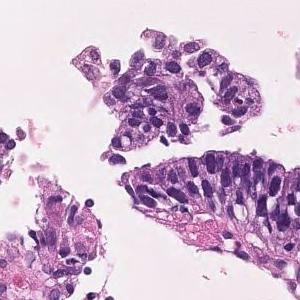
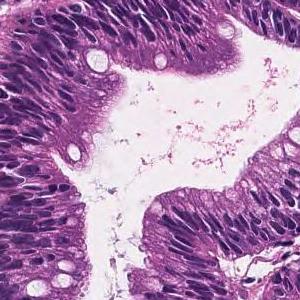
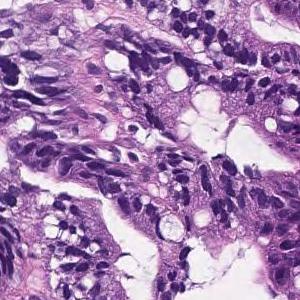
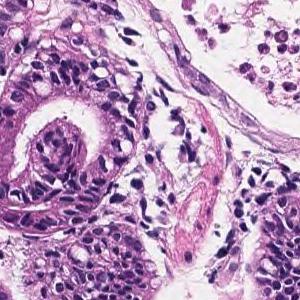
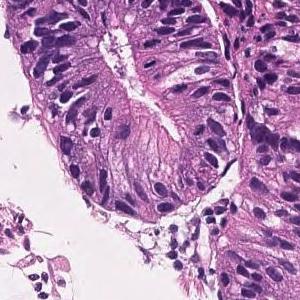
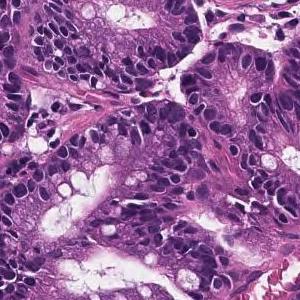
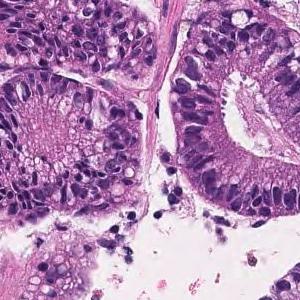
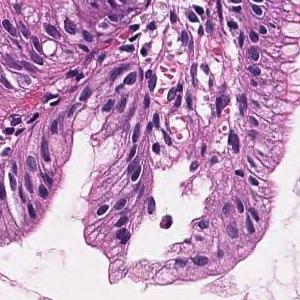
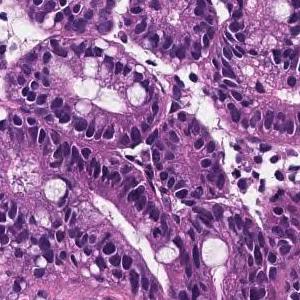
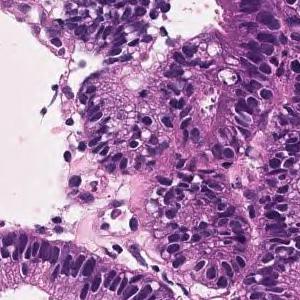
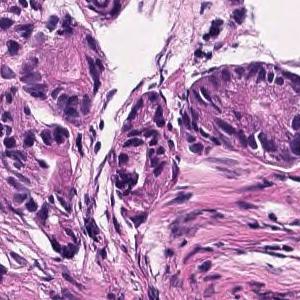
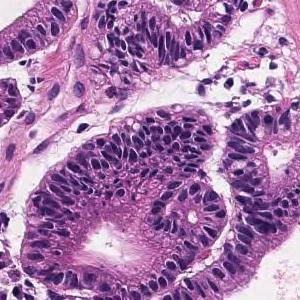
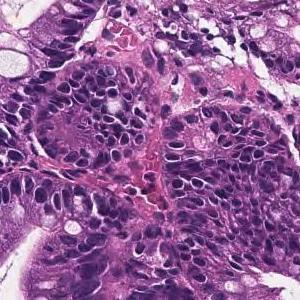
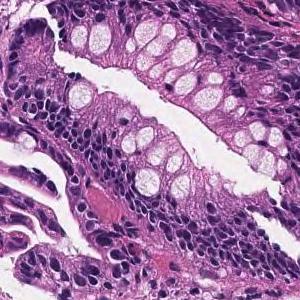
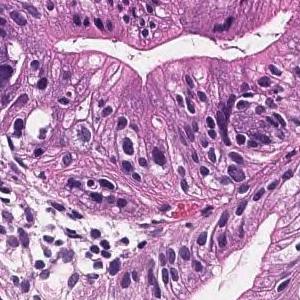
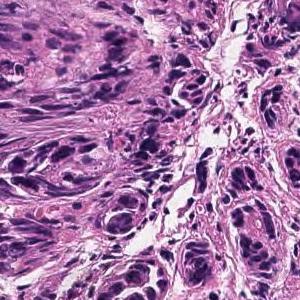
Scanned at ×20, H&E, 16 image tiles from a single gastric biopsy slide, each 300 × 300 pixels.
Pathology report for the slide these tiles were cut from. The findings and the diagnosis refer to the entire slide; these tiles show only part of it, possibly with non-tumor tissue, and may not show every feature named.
Most remain in the superficial epithelium, forming medium-sized papillary or small irregular ducts and proliferating, and some tumor tissue invades the muscularis mucosae. Papillary adenocarcinoma
